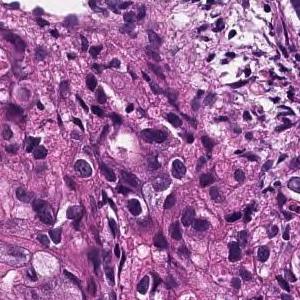
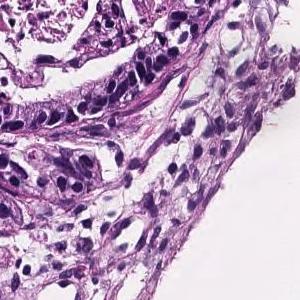
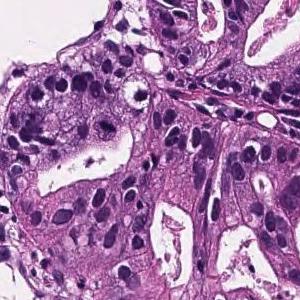
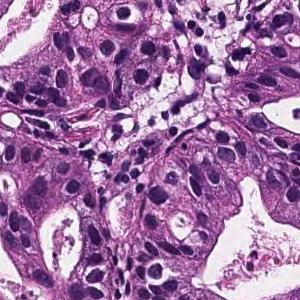
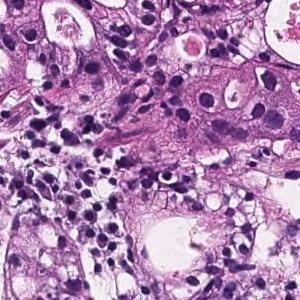
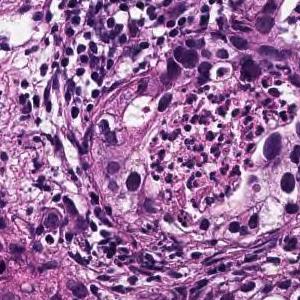
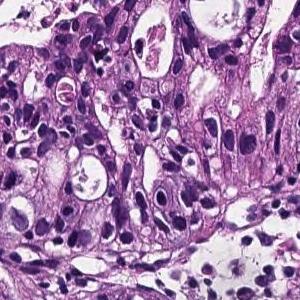
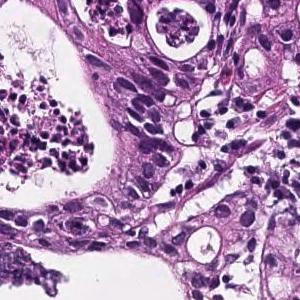
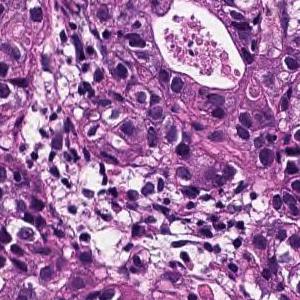
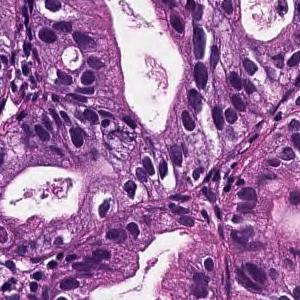
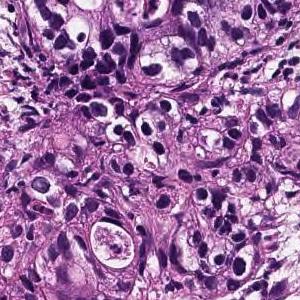
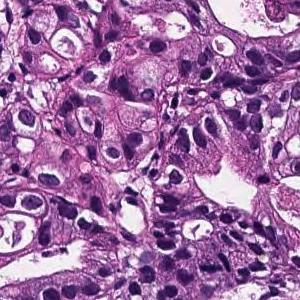
12 tiles from the same stomach biopsy slide · 300 × 300 pixels each · H&E stain · ×20.
Report on the slide these tiles come from. The report describes the whole slide, diagnosis included: not every finding it names need appear in these tiles, which may also show non-tumor tissue.
From the superficial epithelium to the muscularis mucosae, tumor tissue infiltrating by forming medium-sized irregular gland ducts is observed. Large tumor cells exhibit large nucleus and hyperchromatism. Well differentiated tubular adenocarcinoma
